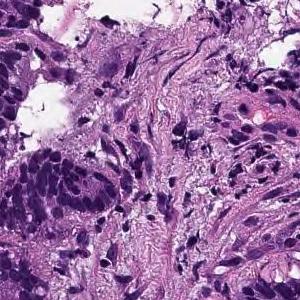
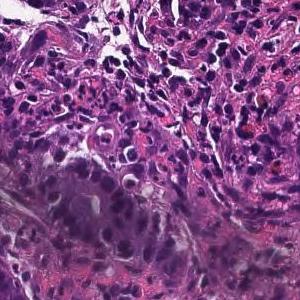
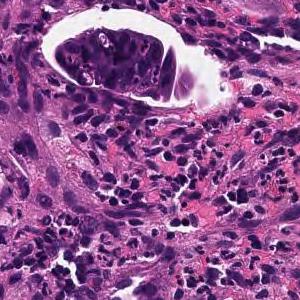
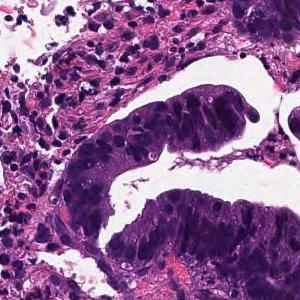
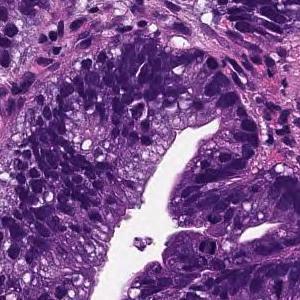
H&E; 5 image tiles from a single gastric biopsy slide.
The pathologist's report on the biopsy slide these tiles were taken from. Both the report and the diagnosis are for the whole slide: these tiles need not show every feature named, and some of the tissue shown may not be tumor.
Tumor cells are large, highly columnar, large club-shaped nuclei, and are associated with chromatin aggregation. Papillary adenocarcinoma.
